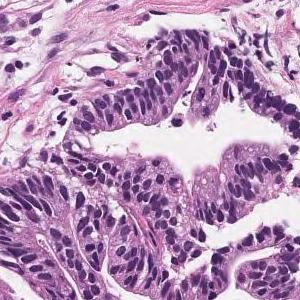
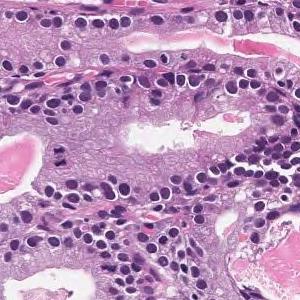
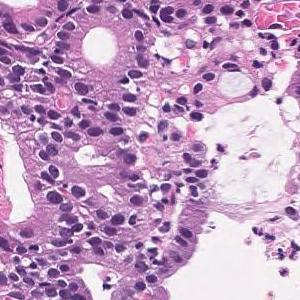
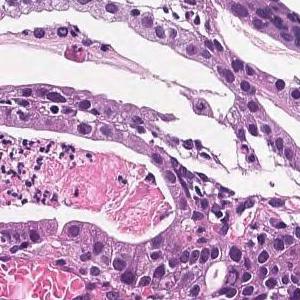
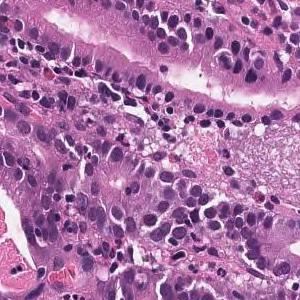
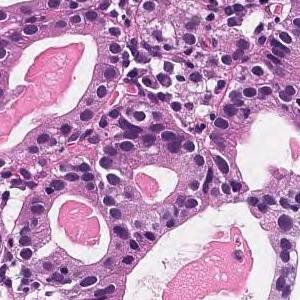
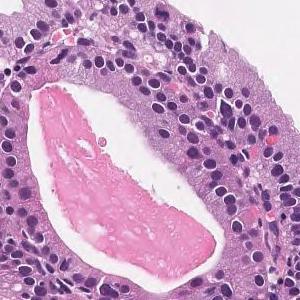
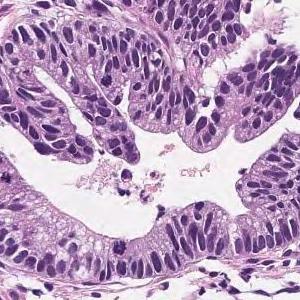
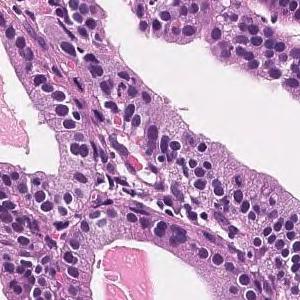
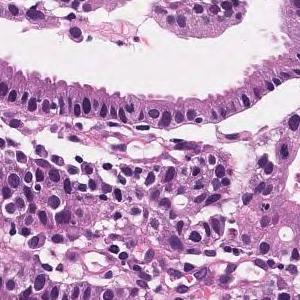
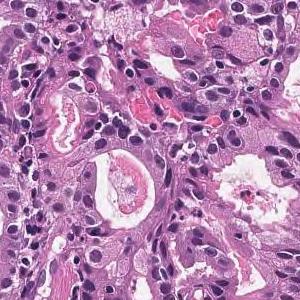
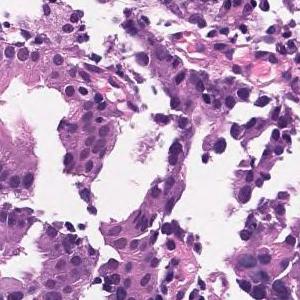
12 tiles from the same stomach biopsy slide · 20× magnification · H&E.
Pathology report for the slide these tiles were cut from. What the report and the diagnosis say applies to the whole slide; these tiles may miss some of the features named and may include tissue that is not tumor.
Medium to small, irregular glandular ducts are formed in the superficial epithelium, and in some cases, the glandular ducts are fused to show solid alveolar lesions and infiltrating tumor tissue is observed. Moderately to poorly differentiated adenocarcinoma.
